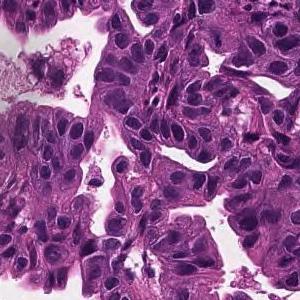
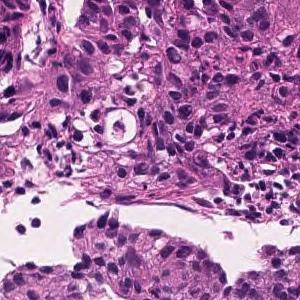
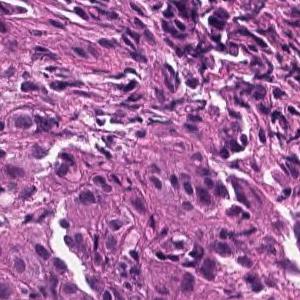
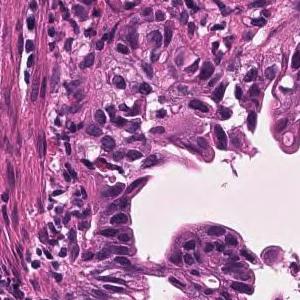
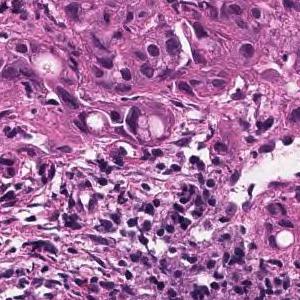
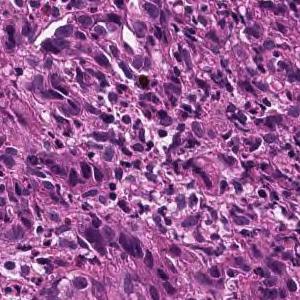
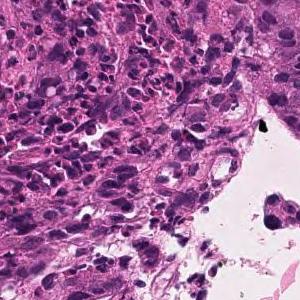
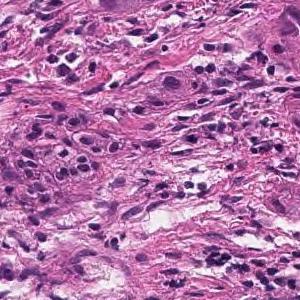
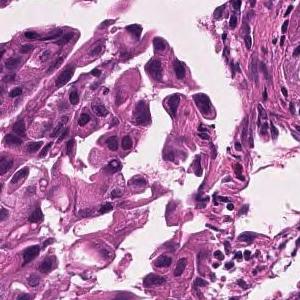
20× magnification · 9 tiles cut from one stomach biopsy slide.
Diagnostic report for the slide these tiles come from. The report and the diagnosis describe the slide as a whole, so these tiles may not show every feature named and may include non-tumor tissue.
Tumor tissue consisting of medium-sized, cord-like or irregular glandular infiltration is observed in the superficial epithelium. Poorly differentiated adenocarcinoma, non-solid type or moderately differentiated tubular adenocarcinoma
"Non-solid type" is a category of the Japanese Classification of Gastric Carcinoma.
